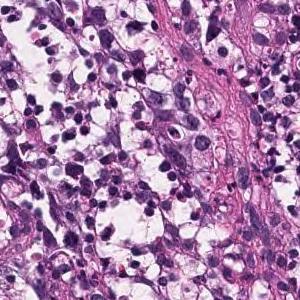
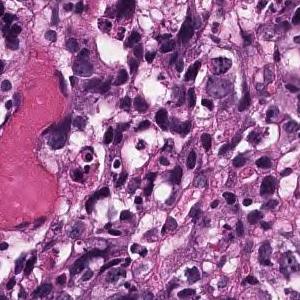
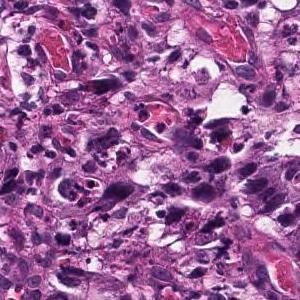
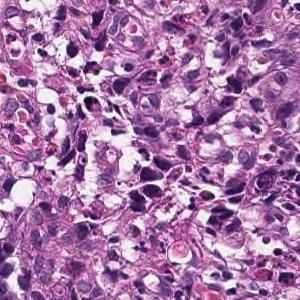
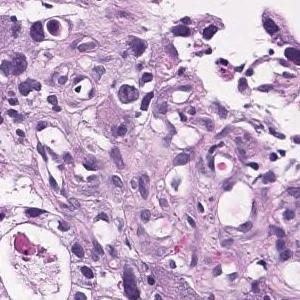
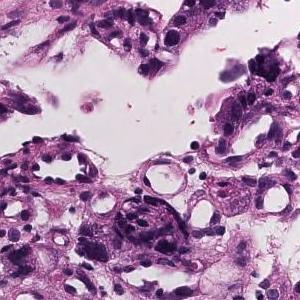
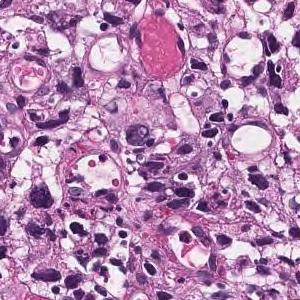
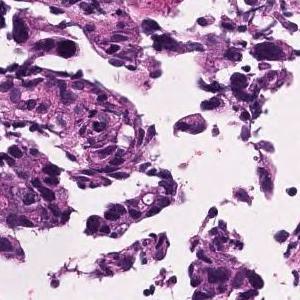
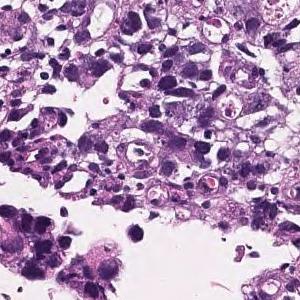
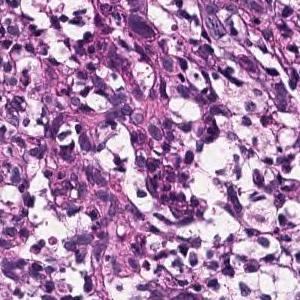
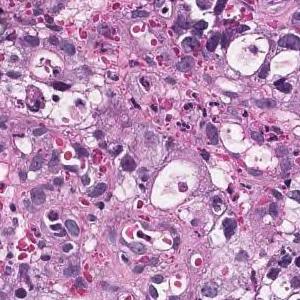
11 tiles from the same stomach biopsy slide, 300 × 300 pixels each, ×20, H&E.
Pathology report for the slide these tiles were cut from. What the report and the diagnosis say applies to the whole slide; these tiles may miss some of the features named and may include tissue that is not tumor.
Tumor tissue consisting of medium-sized, cord-like or irregular glandular infiltration is observed in the superficial epithelium. Poorly differentiated adenocarcinoma, non-solid type or moderately differentiated tubular adenocarcinoma
"Non-solid type" is a category of the Japanese Classification of Gastric Carcinoma.
